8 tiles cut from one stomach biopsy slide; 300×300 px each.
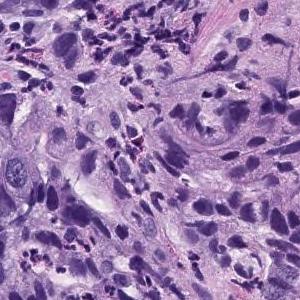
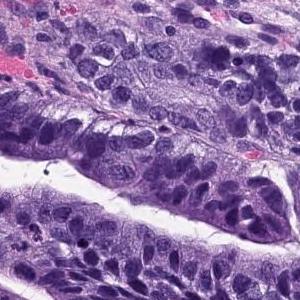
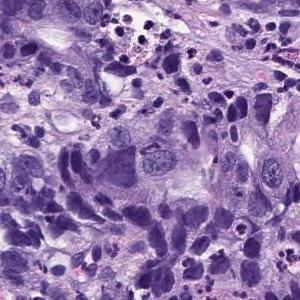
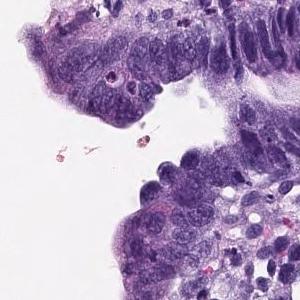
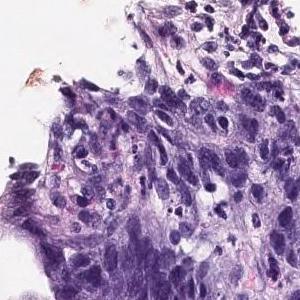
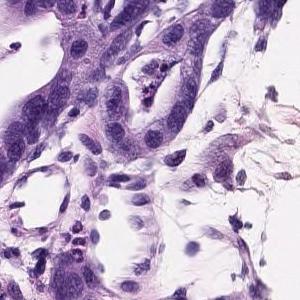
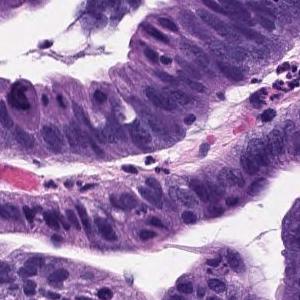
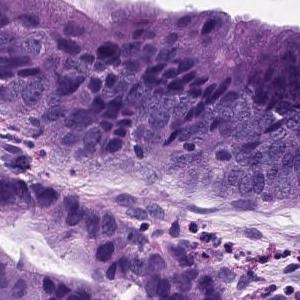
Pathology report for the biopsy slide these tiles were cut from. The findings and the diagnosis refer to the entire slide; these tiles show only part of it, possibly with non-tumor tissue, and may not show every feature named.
Tumor tissue consisting of large papillary structures is found in the superficial epithelium. Papillary adenocarcinoma.
